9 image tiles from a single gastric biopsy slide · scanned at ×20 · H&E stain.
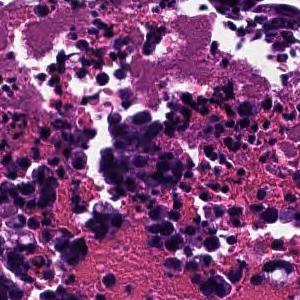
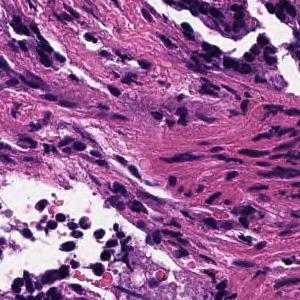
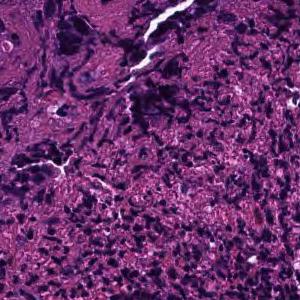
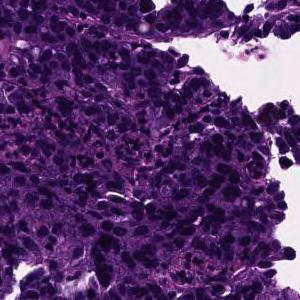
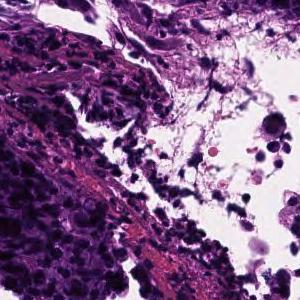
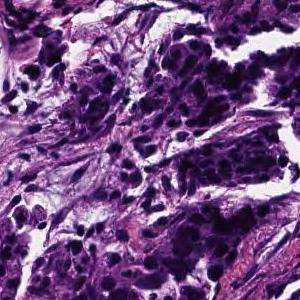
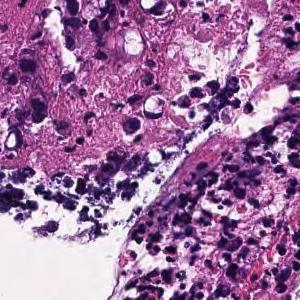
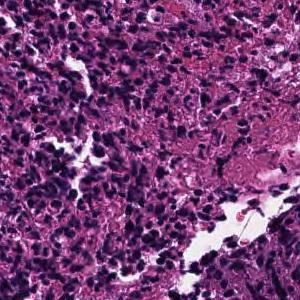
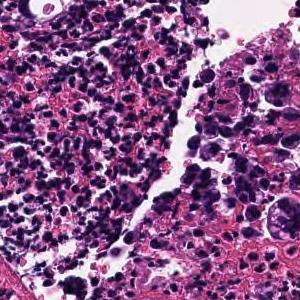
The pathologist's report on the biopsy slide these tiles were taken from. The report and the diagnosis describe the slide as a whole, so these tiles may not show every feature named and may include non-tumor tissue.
In the superficial epithelium, tumor tissue that invades by forming medium-sized to small, irregular ducts is observed. moderately differentiated tubular adenocarcinoma.
